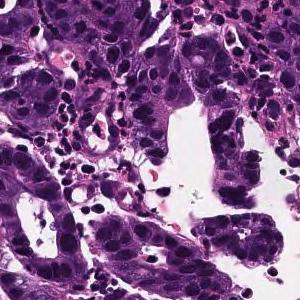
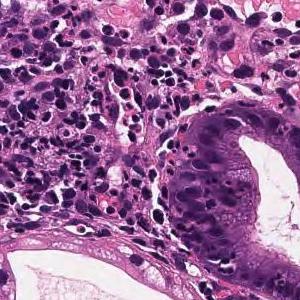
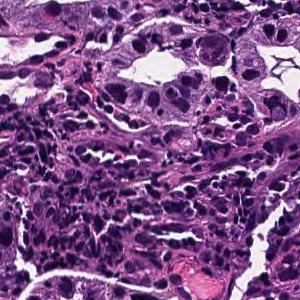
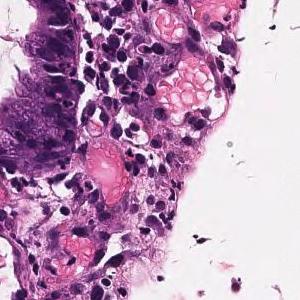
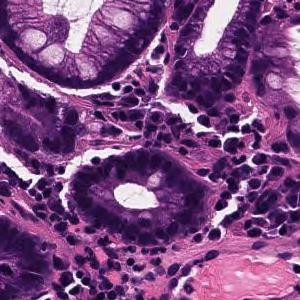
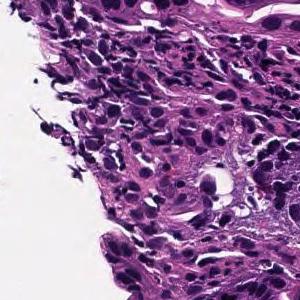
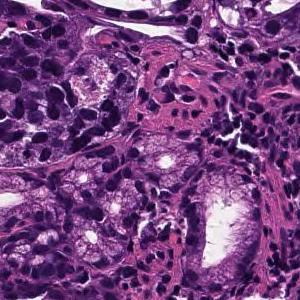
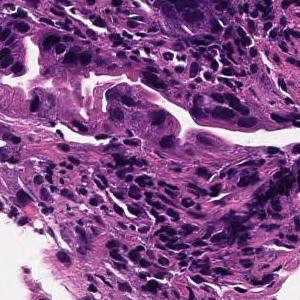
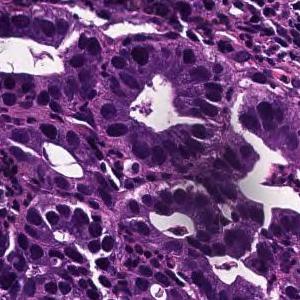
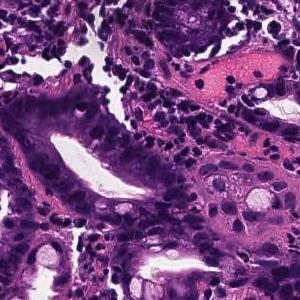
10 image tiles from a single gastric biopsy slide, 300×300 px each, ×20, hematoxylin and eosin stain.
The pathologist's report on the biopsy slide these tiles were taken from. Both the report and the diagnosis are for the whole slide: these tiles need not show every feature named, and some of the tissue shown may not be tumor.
From the superficial epithelium to the muscularis mucosae, tumor tissue consisting of medium-sized and irregular glandular ducts infiltrating is observed. Well differentiated tubular adenocarcinoma
